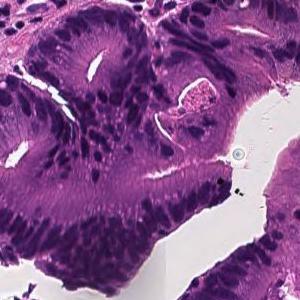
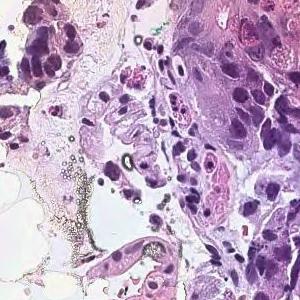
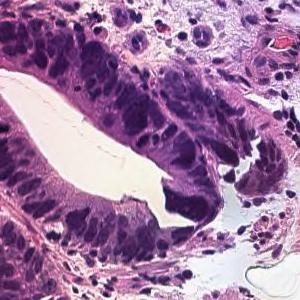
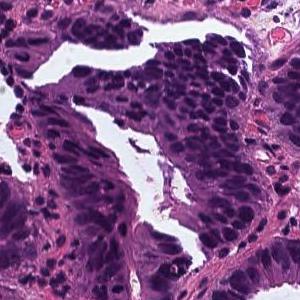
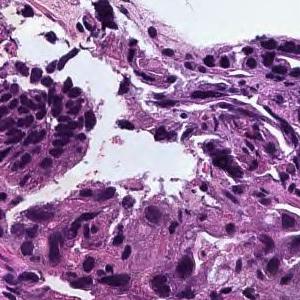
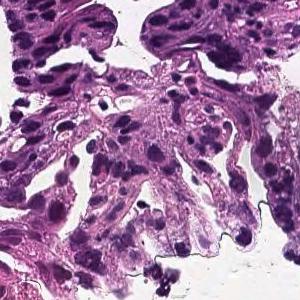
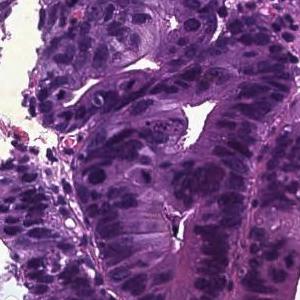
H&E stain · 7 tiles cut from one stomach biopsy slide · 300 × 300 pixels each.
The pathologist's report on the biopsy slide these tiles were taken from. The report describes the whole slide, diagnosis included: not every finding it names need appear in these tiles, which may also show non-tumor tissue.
In the superficial epithelium, tumor tissue that invades by forming medium-sized to small, irregular ducts is observed. moderately differentiated tubular adenocarcinoma.
